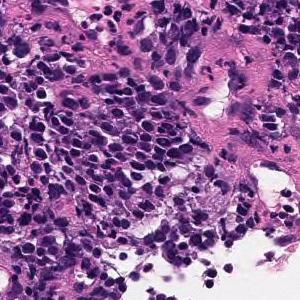
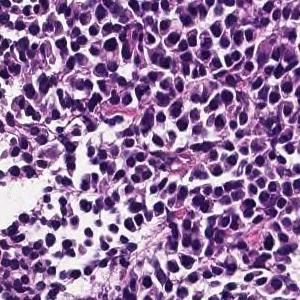
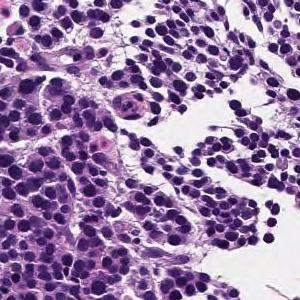
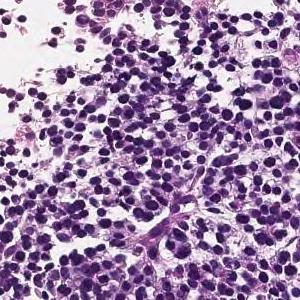
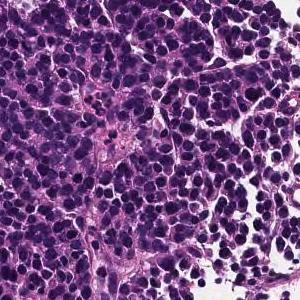
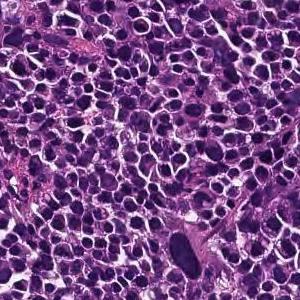
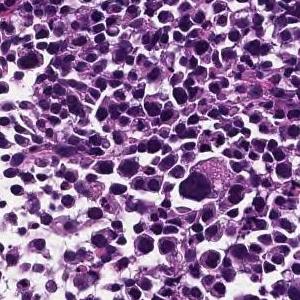
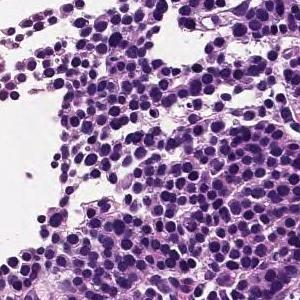
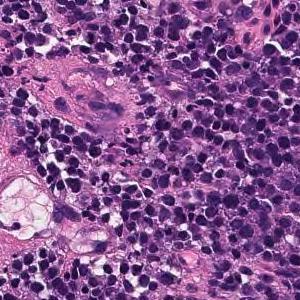
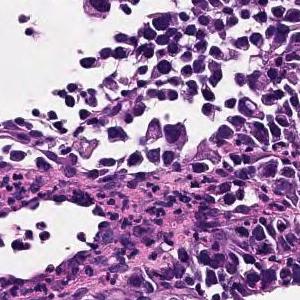
H&E; 10 image tiles from a single gastric biopsy slide; 300×300 px each.
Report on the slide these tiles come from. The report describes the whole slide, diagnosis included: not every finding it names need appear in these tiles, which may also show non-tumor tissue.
Large sheet-like or diffusely infiltrating tumor tissue is found in the superficial epithelium. Poorly differentiated adenocarcinoma, solid-type
Subtype: Poorly differentiated adenocarcinoma, solid type (Japanese Classification of Gastric Carcinoma). The WHO 2019 equivalent is tubular adenocarcinoma, poorly differentiated.
